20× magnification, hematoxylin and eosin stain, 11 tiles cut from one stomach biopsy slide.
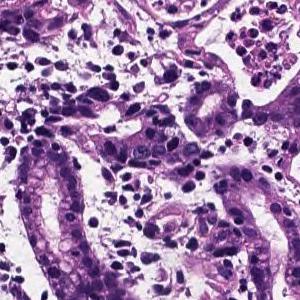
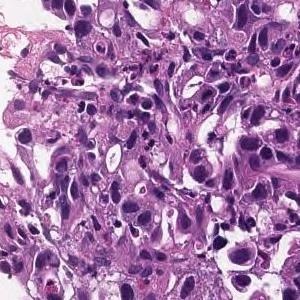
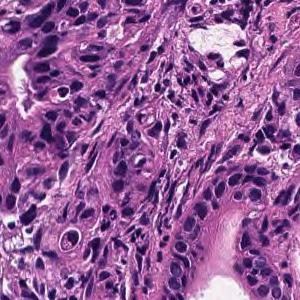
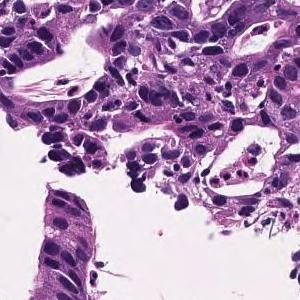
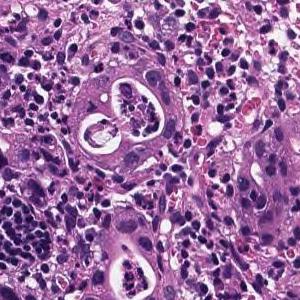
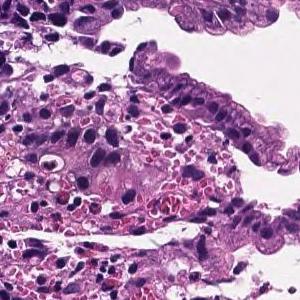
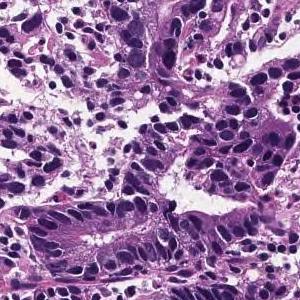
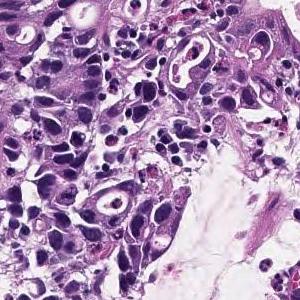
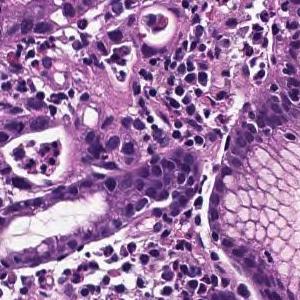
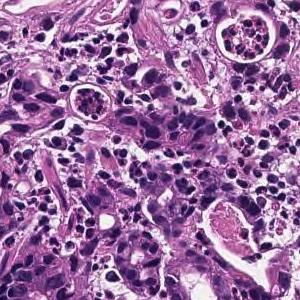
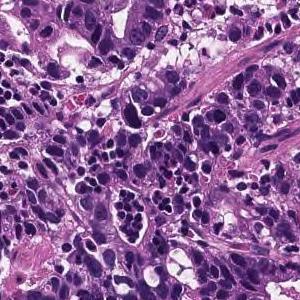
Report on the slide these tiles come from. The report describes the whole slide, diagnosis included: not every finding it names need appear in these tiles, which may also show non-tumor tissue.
In the superficial epithelium, tumor tissue that invades by forming medium-sized to small, irregular ducts is observed. moderately differentiated tubular adenocarcinoma.
